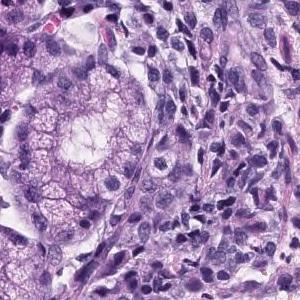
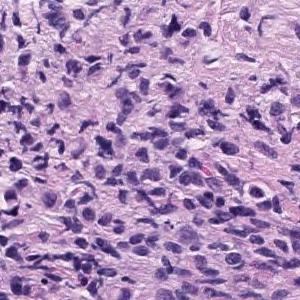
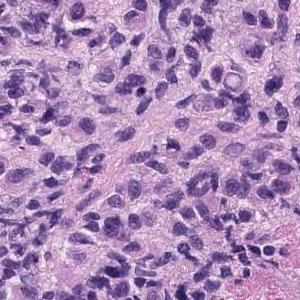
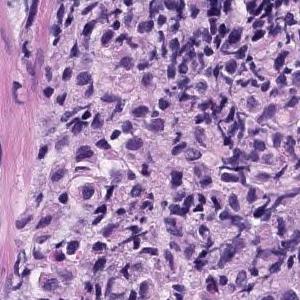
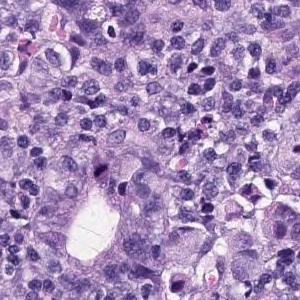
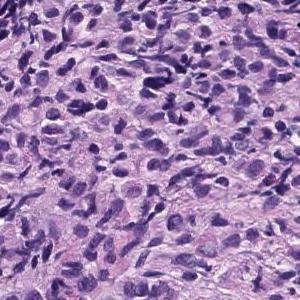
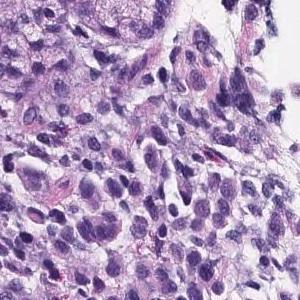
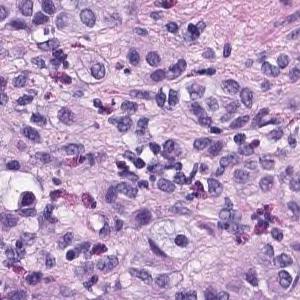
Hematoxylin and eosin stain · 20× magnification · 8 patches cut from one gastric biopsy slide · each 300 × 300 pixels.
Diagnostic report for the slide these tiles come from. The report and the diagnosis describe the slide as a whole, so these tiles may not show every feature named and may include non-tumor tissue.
There are medium-sized atypical cells with marked nuclear swelling and increased N/C ratio, which grow into solid or isolated scattered cells. Poorly differentiated adenocarcinoma
Subtype: Poorly differentiated adenocarcinoma, solid type. This name comes from the Japanese Classification of Gastric Carcinoma; the WHO 2019 classification calls it tubular adenocarcinoma, poorly differentiated.
